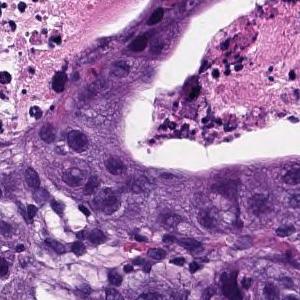
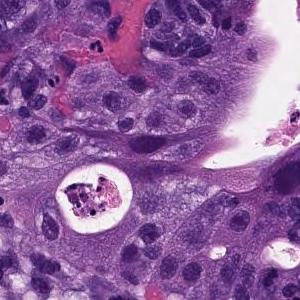
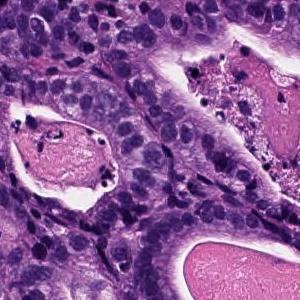
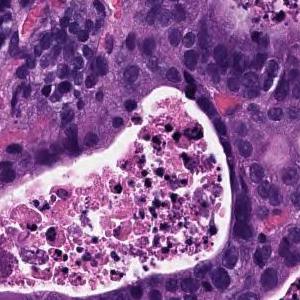
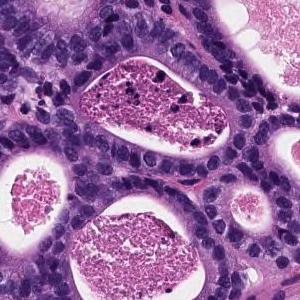
H&E stain; 20× magnification; 5 tiles from the same stomach biopsy slide; 300×300 px each.
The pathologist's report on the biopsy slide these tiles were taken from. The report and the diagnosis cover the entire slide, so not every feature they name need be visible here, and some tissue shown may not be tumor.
From the superficial epithelium to the muscularis mucosae, tumor tissue consisting of medium-sized and irregular glandular ducts infiltrating is observed. Well differentiated tubular adenocarcinoma
